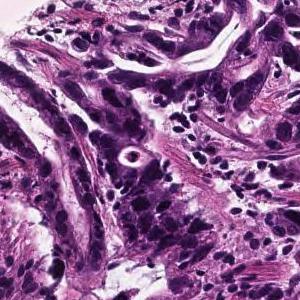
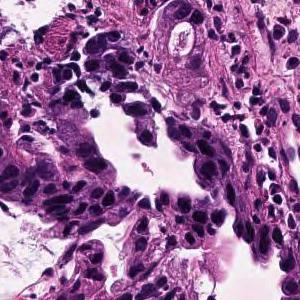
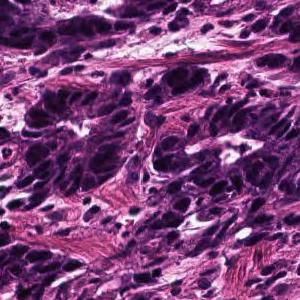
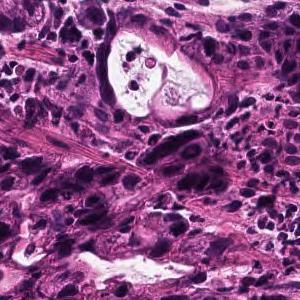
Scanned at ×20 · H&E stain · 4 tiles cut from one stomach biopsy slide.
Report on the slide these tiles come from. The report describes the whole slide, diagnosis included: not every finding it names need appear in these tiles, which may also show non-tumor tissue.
In the superficial epithelium, tumor tissue that invades by forming medium-sized to small, irregular ducts is observed. moderately differentiated tubular adenocarcinoma.
